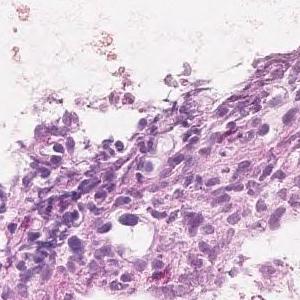
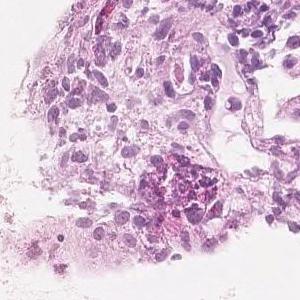
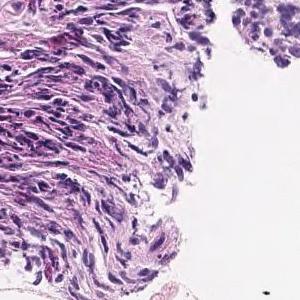
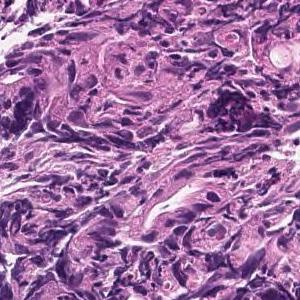
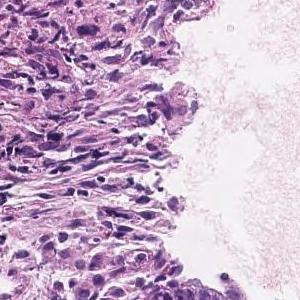
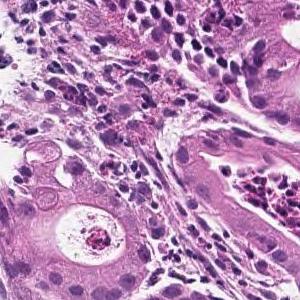
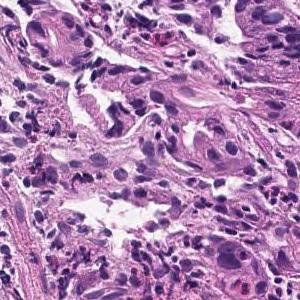
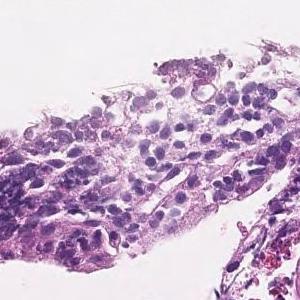
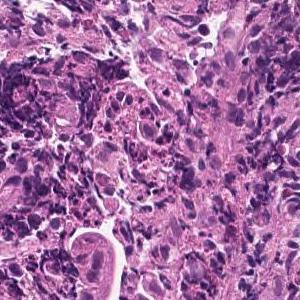
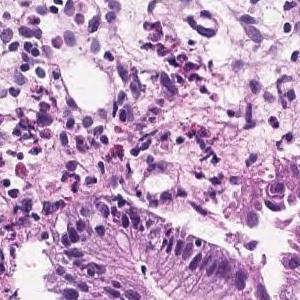
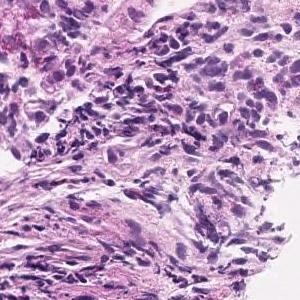
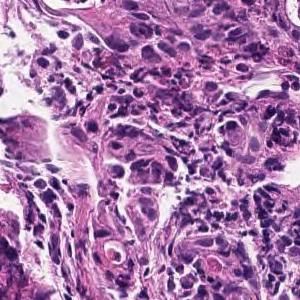
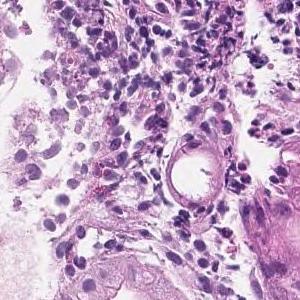
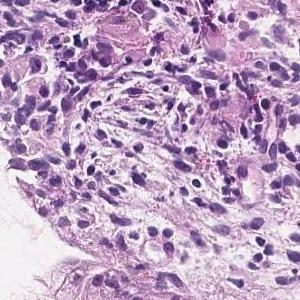
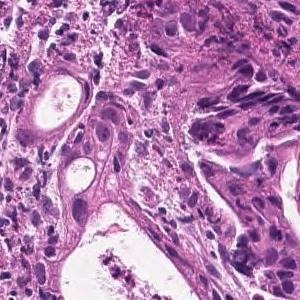
Hematoxylin and eosin stain · 15 tiles cut from one stomach biopsy slide · 300 × 300 pixels each.
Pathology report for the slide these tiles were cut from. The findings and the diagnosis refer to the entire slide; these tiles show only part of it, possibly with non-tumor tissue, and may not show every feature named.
In the superficial epithelium, tumor tissue that invades by forming medium-sized to small, irregular ducts is observed. moderately differentiated tubular adenocarcinoma.
